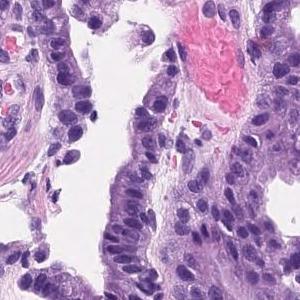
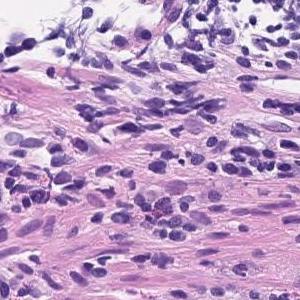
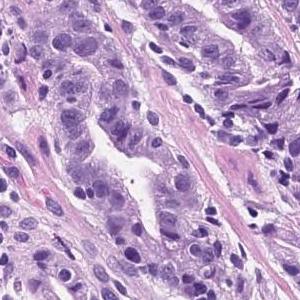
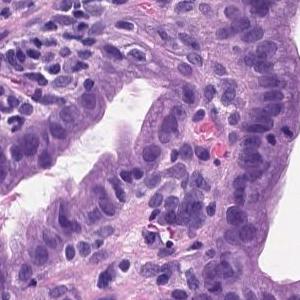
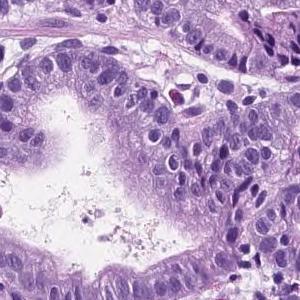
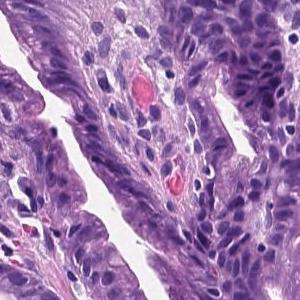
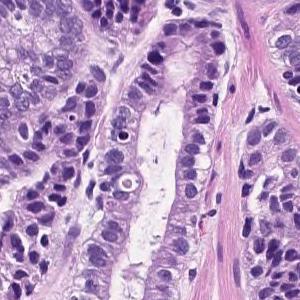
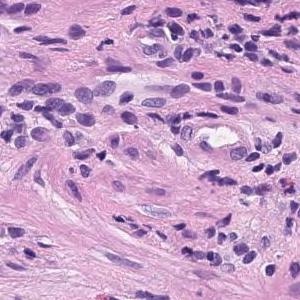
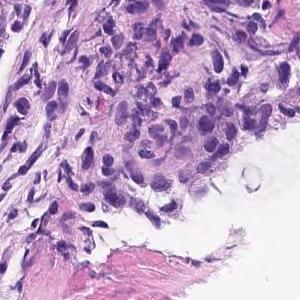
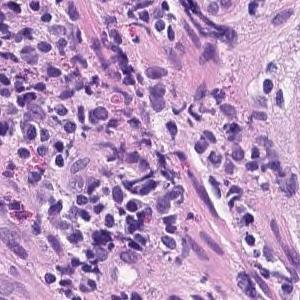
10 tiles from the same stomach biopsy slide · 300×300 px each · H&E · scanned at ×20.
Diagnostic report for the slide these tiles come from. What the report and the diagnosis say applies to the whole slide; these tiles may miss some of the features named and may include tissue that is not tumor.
Tumor tissue consisting of medium-sized and irregular ducts is observed infiltrating in the superficial epithelium. Tumor cells are highly columnar, with nuclei aligned basolaterally and polarized. Well differentiated tubular adenocarcinoma.
